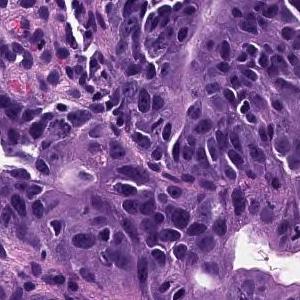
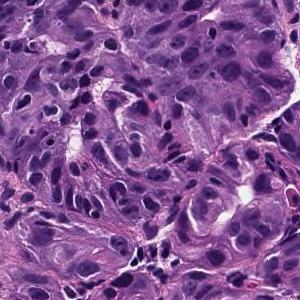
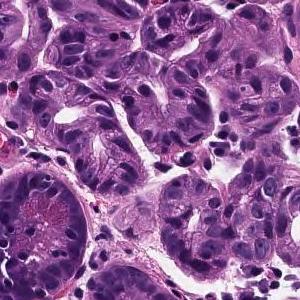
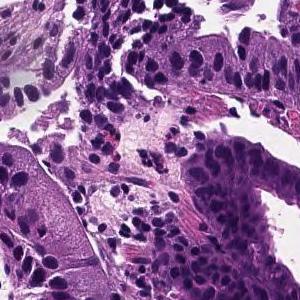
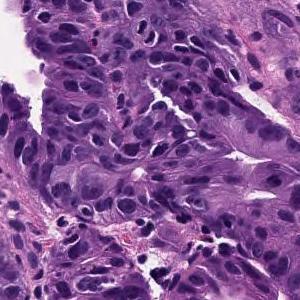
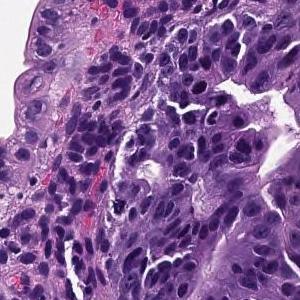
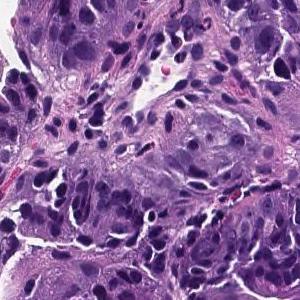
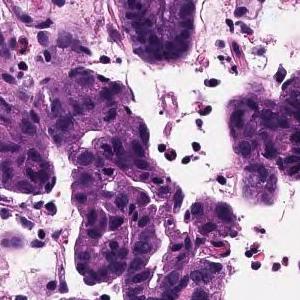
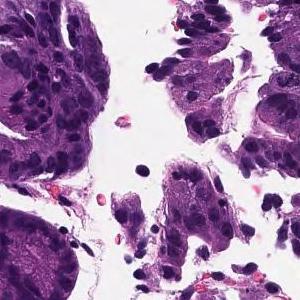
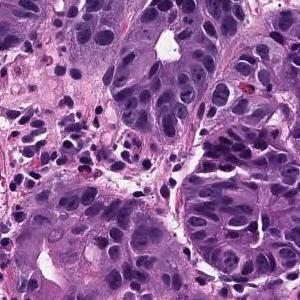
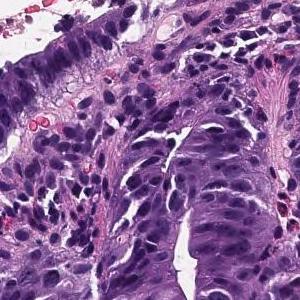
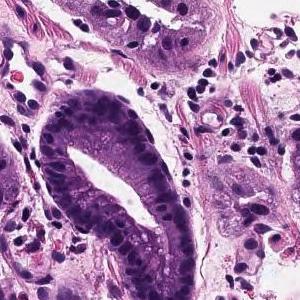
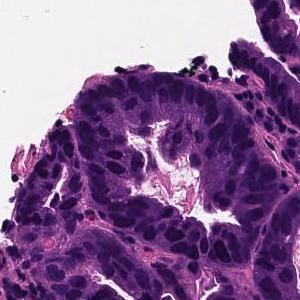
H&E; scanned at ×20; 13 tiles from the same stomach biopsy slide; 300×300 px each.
Pathology report for the slide these tiles were cut from. The findings and the diagnosis refer to the entire slide; these tiles show only part of it, possibly with non-tumor tissue, and may not show every feature named.
On the superficial epithelium, tumor tissue consisting of large irregular glandular ducts partially fused and infiltrated is observed. Well to moderately differentiated tubular adenocarcinoma (well differentiated tubular adenocarcinoma, moderately differentiated tubular adenocarcinoma)
Classified as well to moderately differentiated tubular adenocarcinoma.
